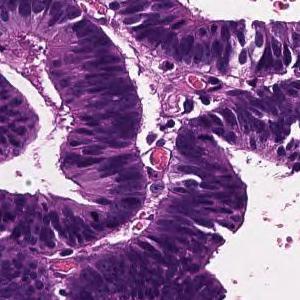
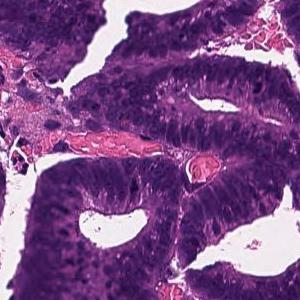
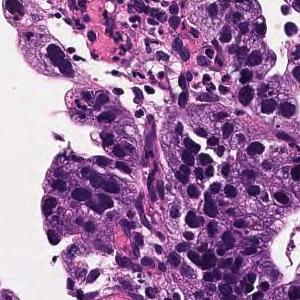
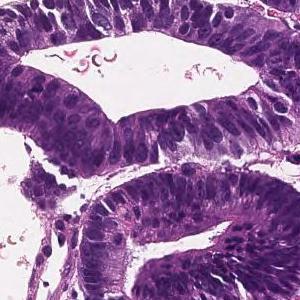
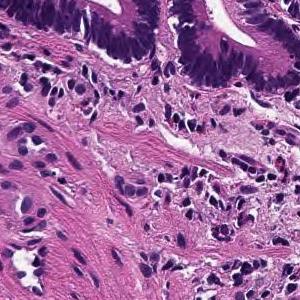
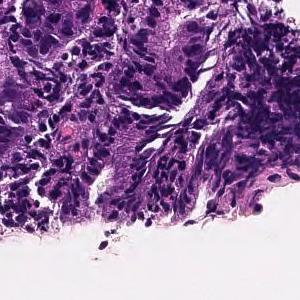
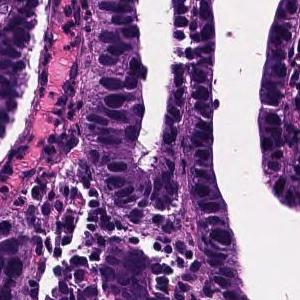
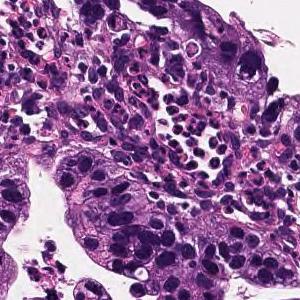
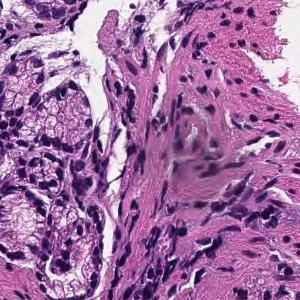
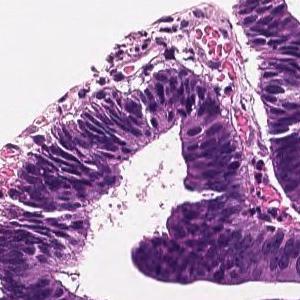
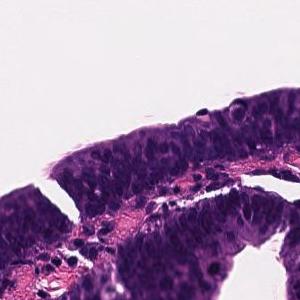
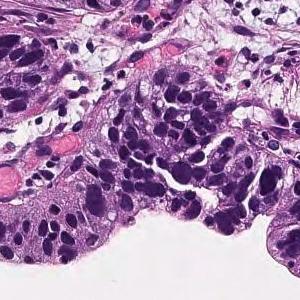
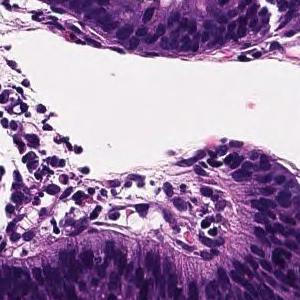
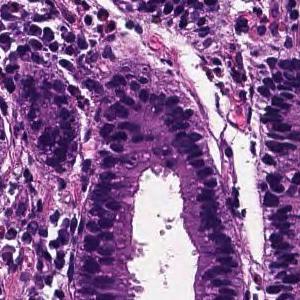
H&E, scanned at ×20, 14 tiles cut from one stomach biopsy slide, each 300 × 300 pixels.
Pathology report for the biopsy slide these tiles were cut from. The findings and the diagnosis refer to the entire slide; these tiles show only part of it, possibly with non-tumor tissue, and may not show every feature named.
Tumor tissue consisting of large papillary structures is found in the superficial epithelium. Papillary adenocarcinoma.
